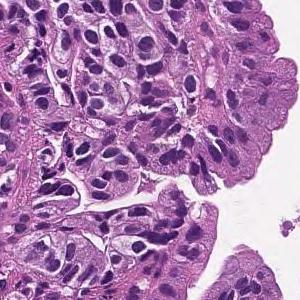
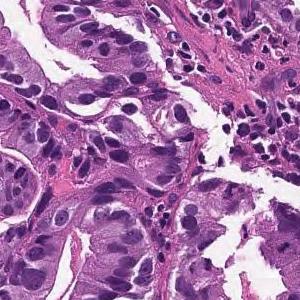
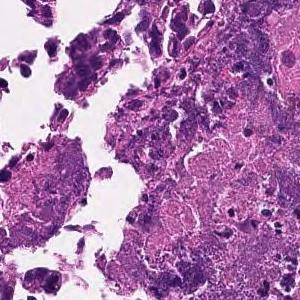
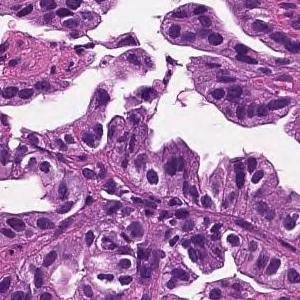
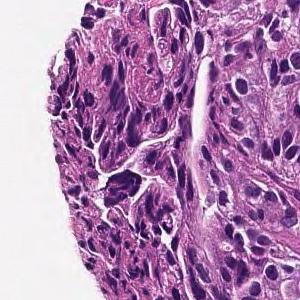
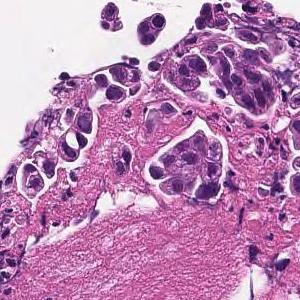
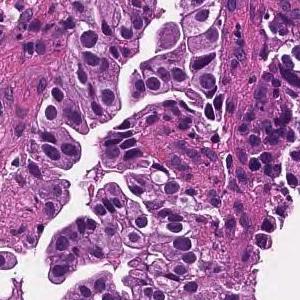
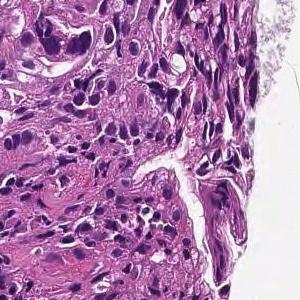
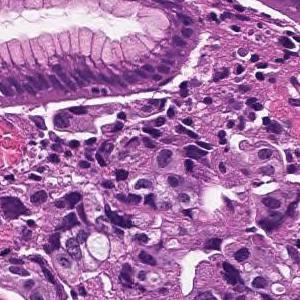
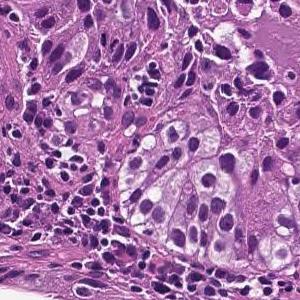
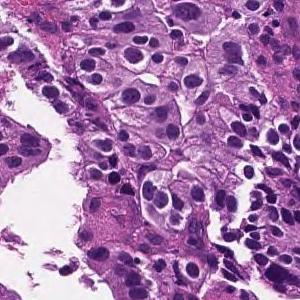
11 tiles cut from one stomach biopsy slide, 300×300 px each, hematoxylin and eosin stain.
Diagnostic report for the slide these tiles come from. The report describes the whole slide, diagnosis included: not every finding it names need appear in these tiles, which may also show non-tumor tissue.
Medium to small, irregular glandular ducts are formed in the superficial epithelium, and in some cases, the glandular ducts are fused to show solid alveolar lesions and infiltrating tumor tissue is observed. Moderately to poorly differentiated adenocarcinoma.
